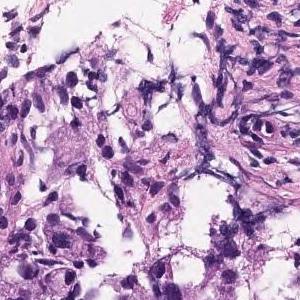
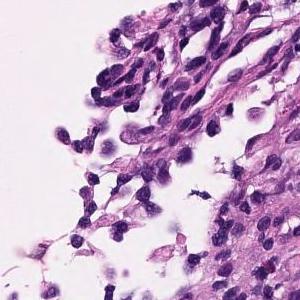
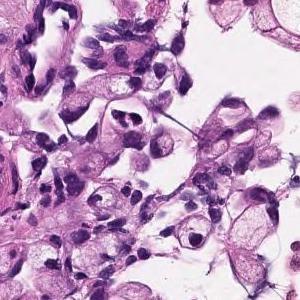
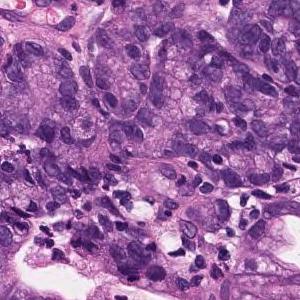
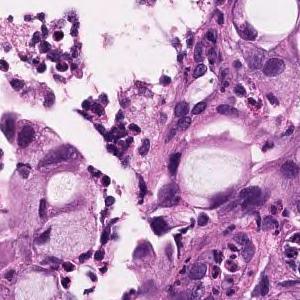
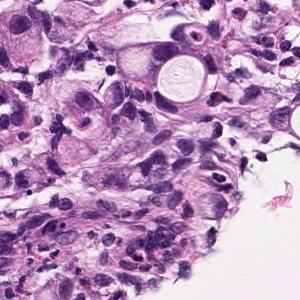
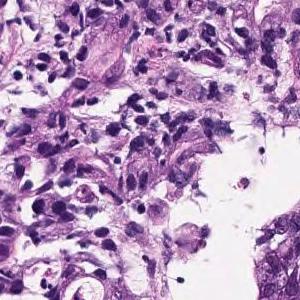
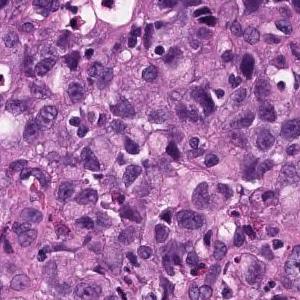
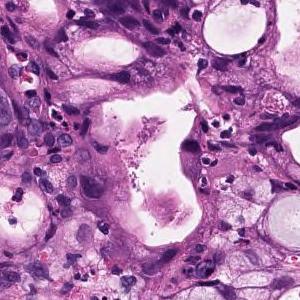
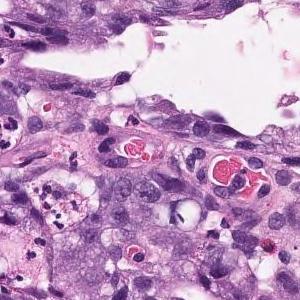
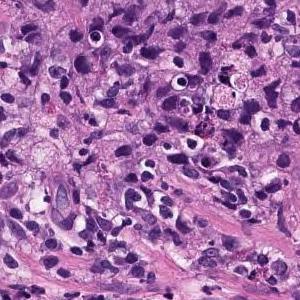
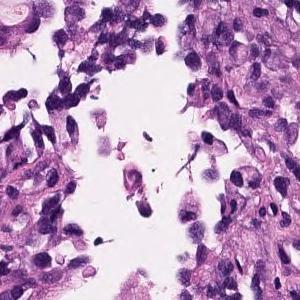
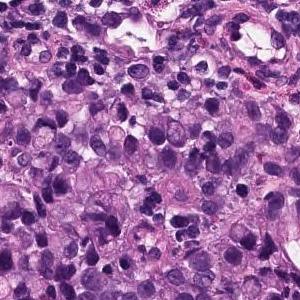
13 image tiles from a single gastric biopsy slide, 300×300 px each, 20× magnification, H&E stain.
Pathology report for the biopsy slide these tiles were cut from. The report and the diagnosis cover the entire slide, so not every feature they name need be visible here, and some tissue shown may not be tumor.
Atypical epithelium forms irregularly fused gland ducts and proliferates. Poorly differentiated adenocarcinoma.
Tumor subtype: poorly differentiated adenocarcinoma, non-solid type.
"Non-solid type" is a category of the Japanese Classification of Gastric Carcinoma.
